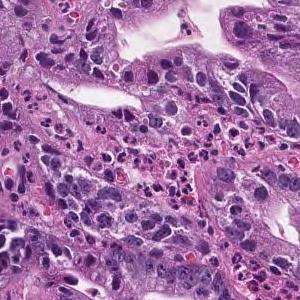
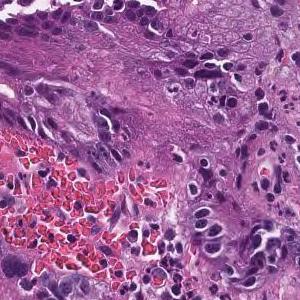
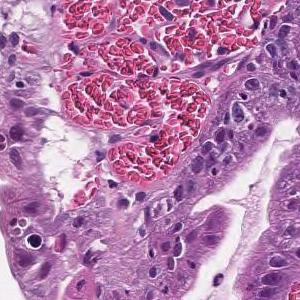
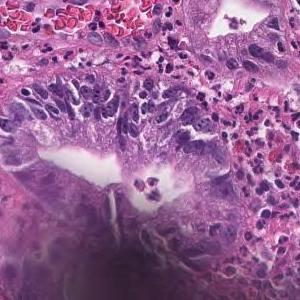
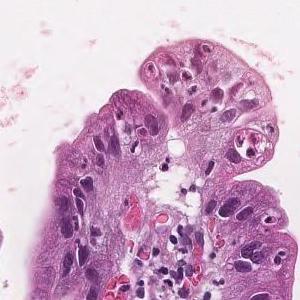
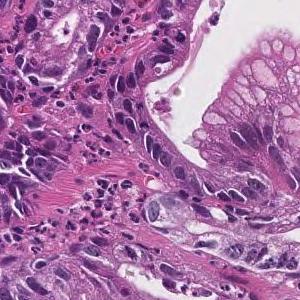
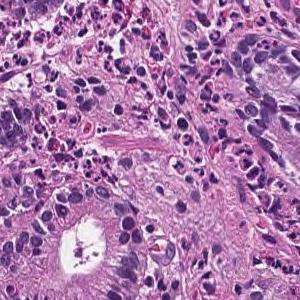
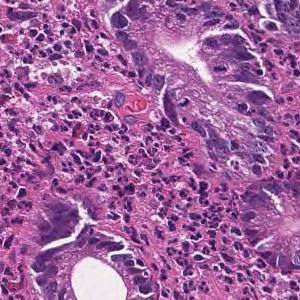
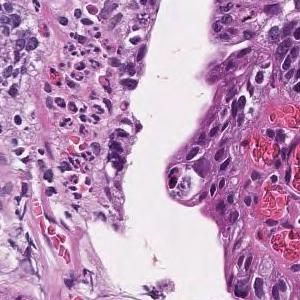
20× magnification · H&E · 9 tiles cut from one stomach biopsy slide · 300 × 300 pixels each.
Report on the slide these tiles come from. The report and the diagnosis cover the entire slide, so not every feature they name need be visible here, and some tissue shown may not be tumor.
Tumor cells are large, highly columnar, large club-shaped nuclei, and are associated with chromatin aggregation. Papillary adenocarcinoma.
